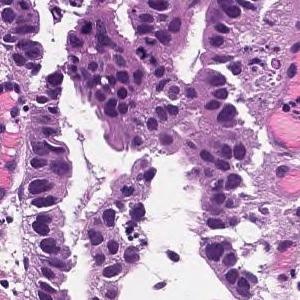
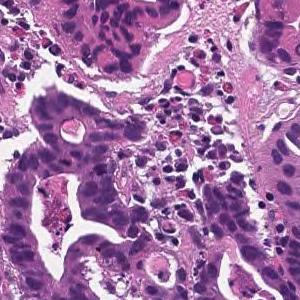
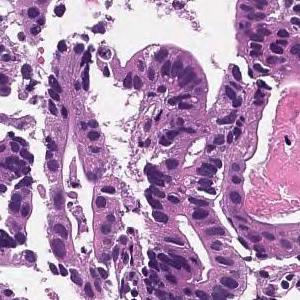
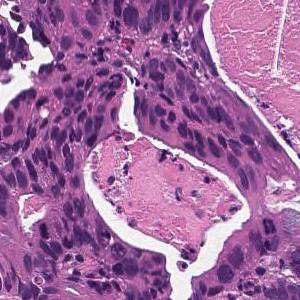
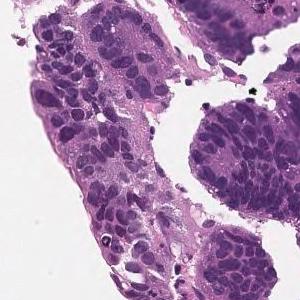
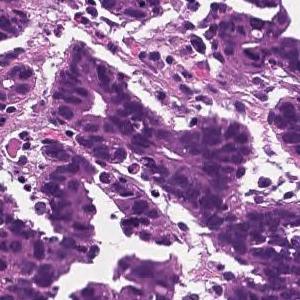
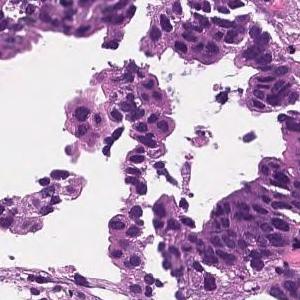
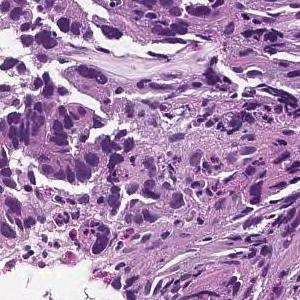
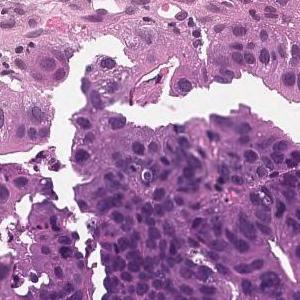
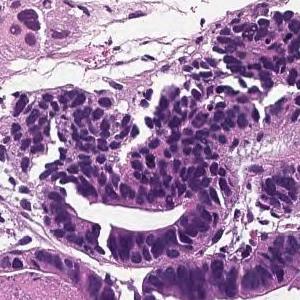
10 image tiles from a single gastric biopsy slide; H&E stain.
The pathologist's report on the biopsy slide these tiles were taken from. The report and the diagnosis describe the slide as a whole, so these tiles may not show every feature named and may include non-tumor tissue.
In the superficial epithelium, tumor tissue that invades by forming medium-sized to small, irregular ducts is observed. moderately differentiated tubular adenocarcinoma.
